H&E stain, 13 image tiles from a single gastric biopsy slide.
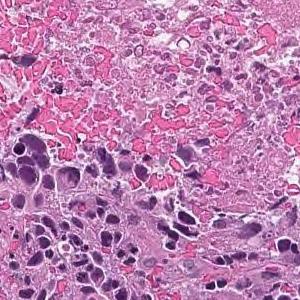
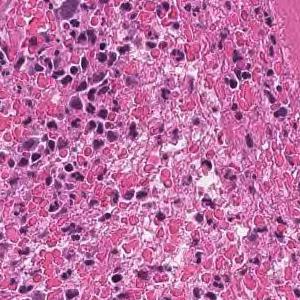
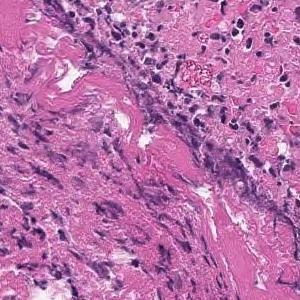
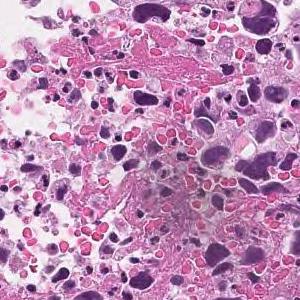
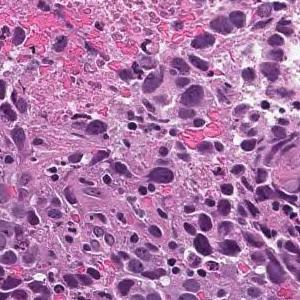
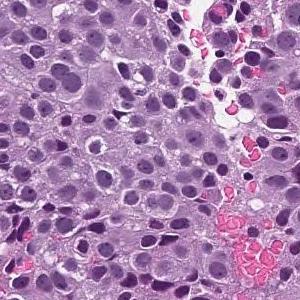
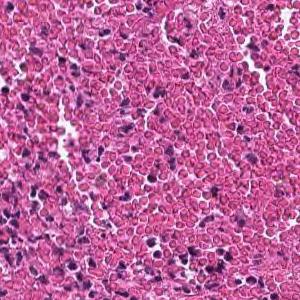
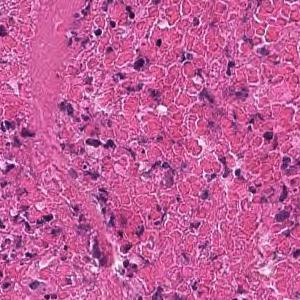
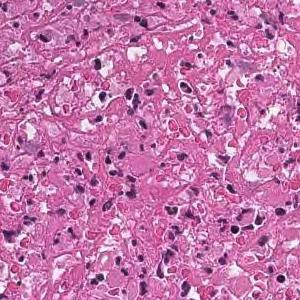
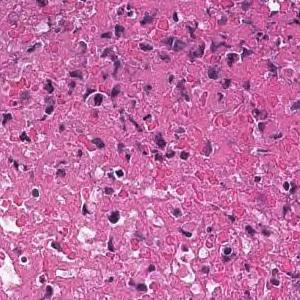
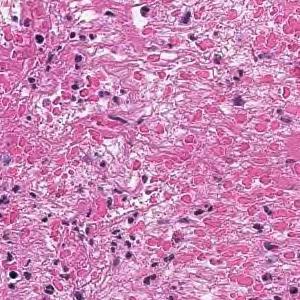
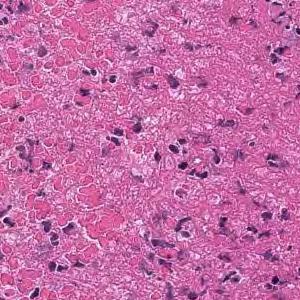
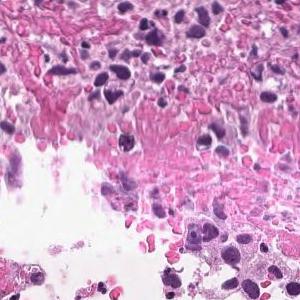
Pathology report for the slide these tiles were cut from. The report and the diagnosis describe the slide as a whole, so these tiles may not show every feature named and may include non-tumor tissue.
The superficial epithelium shows a large sheet-like shape, and some tumor tissue infiltrates with small irregular ducts. Poorly differentiated adenocarcinoma, solid-type
Subtype: Poorly differentiated adenocarcinoma, solid type. This name comes from the Japanese Classification of Gastric Carcinoma; the WHO 2019 classification calls it tubular adenocarcinoma, poorly differentiated.
